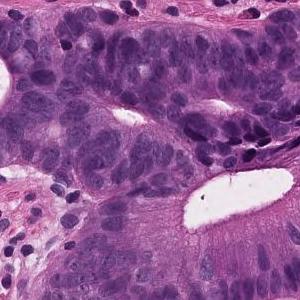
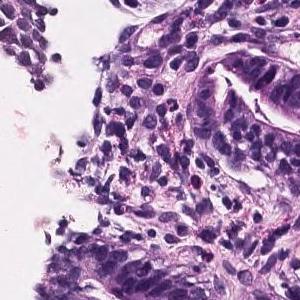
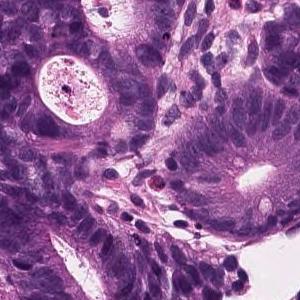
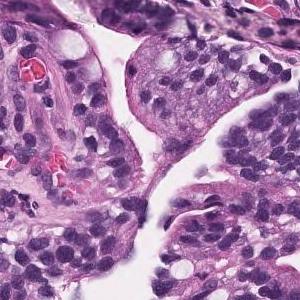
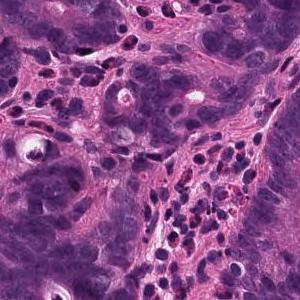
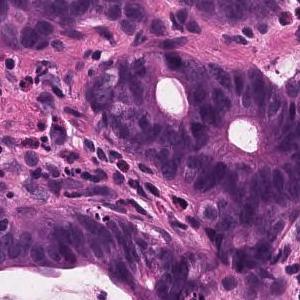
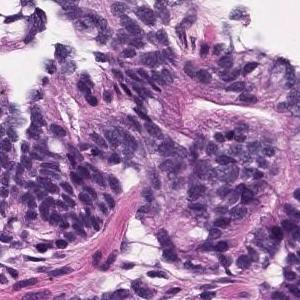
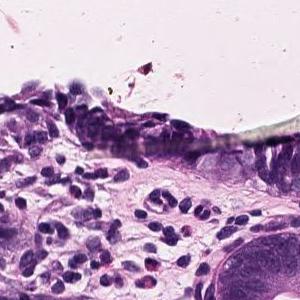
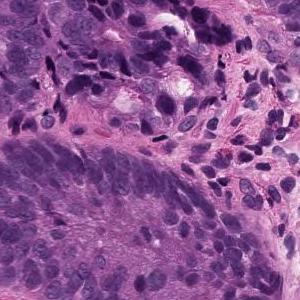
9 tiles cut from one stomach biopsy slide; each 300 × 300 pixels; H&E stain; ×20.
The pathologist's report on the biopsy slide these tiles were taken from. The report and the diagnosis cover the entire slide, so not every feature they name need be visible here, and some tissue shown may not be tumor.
Atypical ducts proliferating while irregularly fusing in the lateral direction is observed. Well differentiated tubular adenocarcinoma
